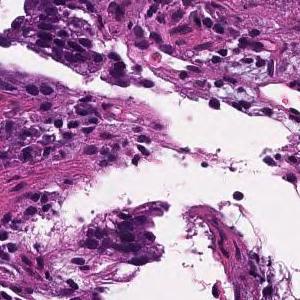
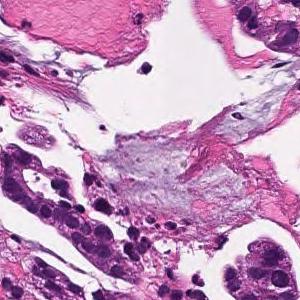
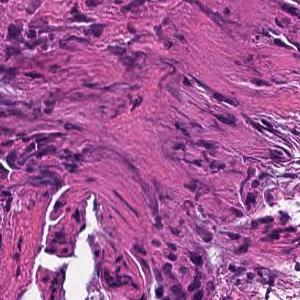
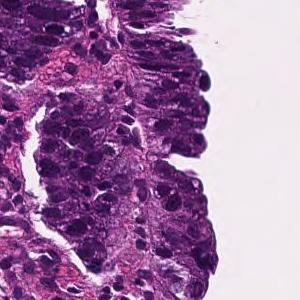
4 tiles cut from one stomach biopsy slide; H&E; scanned at ×20.
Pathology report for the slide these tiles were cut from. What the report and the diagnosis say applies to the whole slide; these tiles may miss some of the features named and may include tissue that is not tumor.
Tumor cells are large, highly columnar, large club-shaped nuclei, and are associated with chromatin aggregation. Papillary adenocarcinoma.
